Scanned at ×20; H&E; 15 tiles cut from one stomach biopsy slide; each 300 × 300 pixels.
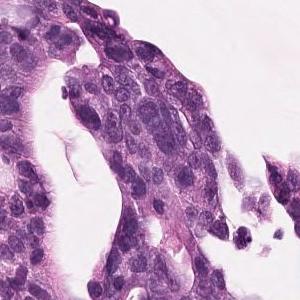
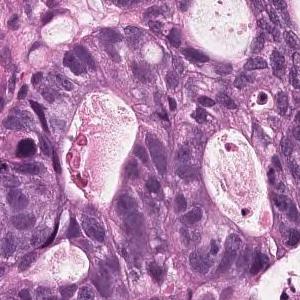
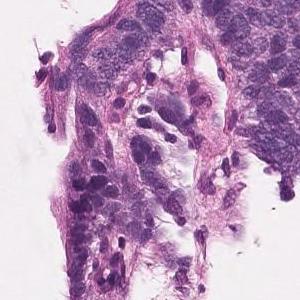
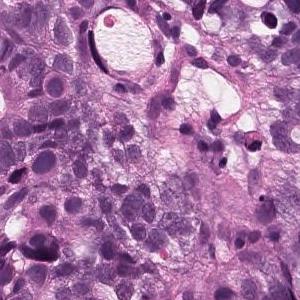
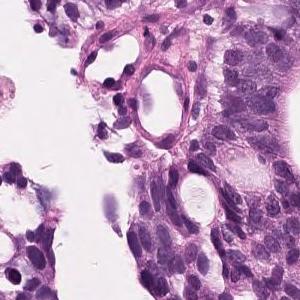
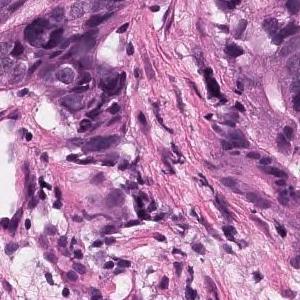
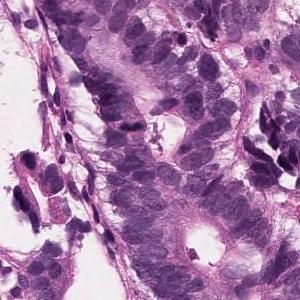
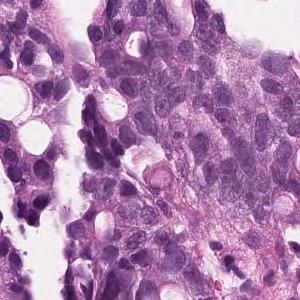
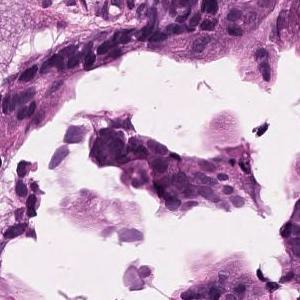
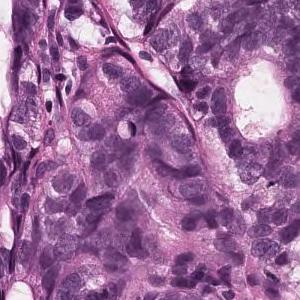
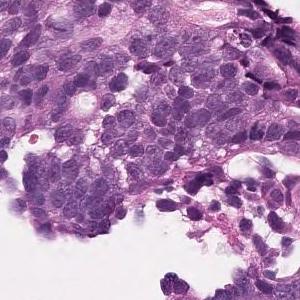
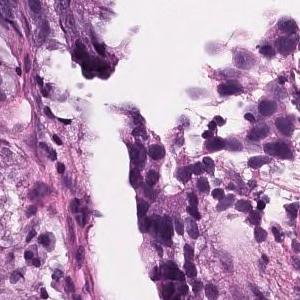
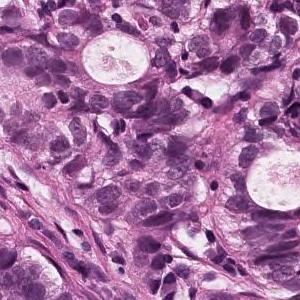
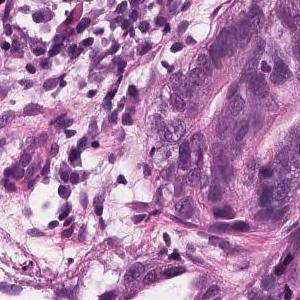
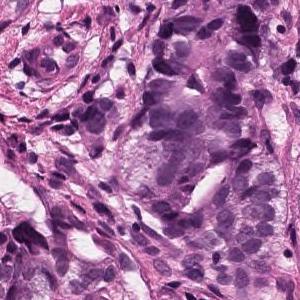
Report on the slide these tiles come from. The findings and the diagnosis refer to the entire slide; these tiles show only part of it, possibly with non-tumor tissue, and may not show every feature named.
On the superficial epithelium, tumor tissue consisting of large, irregular glandular ducts partially fused and infiltrated is observed. Well to moderately differentiated tubular adenocarcinoma (well differentiated tubular adenocarcinoma, moderately differentiated tubular adenocarcinoma)
Histological subtype: Well to moderately differentiated tubular adenocarcinoma.
